×20, 6 patches cut from one gastric biopsy slide, 300 × 300 pixels each.
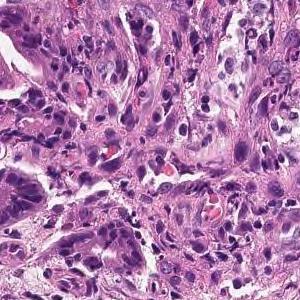
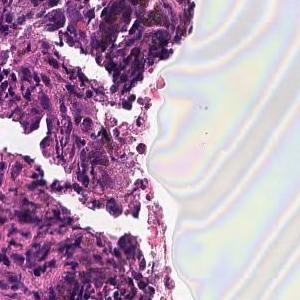
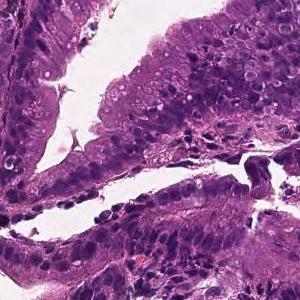
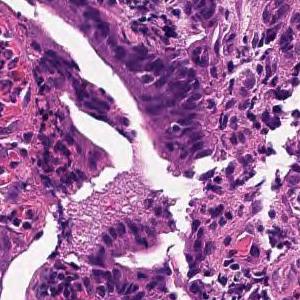
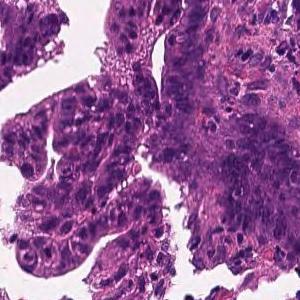
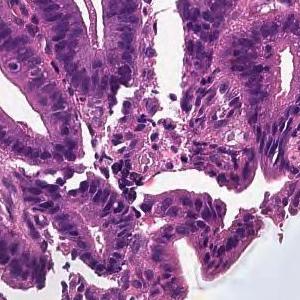
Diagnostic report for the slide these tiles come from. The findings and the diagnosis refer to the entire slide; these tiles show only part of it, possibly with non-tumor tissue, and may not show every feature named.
From the superficial epithelium to the muscularis mucosae, tumor tissue consisting of medium-sized and irregular glandular ducts infiltrating is observed. Well differentiated tubular adenocarcinoma
